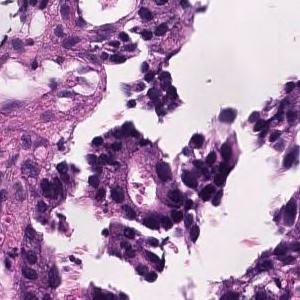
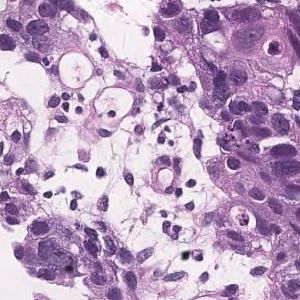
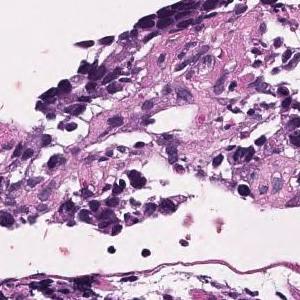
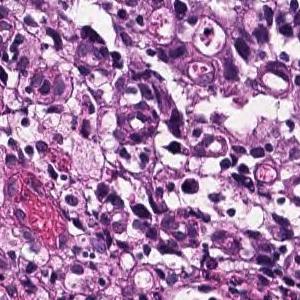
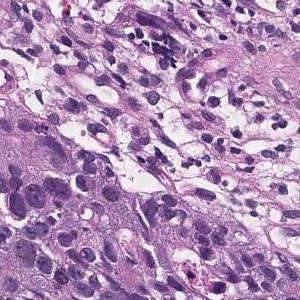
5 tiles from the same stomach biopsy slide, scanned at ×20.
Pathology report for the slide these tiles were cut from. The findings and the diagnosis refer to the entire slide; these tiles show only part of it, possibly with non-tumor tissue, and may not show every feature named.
Tumor tissue consisting of medium-sized, cord-like or irregular glandular infiltration is observed in the superficial epithelium. Poorly differentiated adenocarcinoma, non-solid type or moderately differentiated tubular adenocarcinoma
The non-solid type named here is a Japanese Classification of Gastric Carcinoma category.
